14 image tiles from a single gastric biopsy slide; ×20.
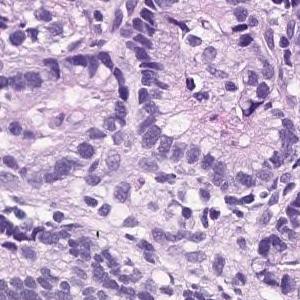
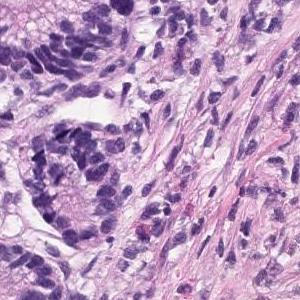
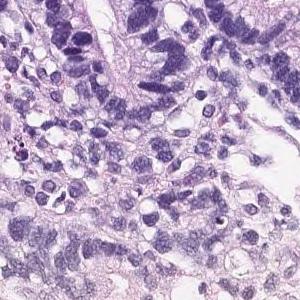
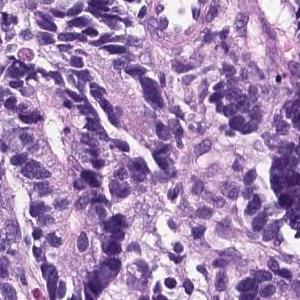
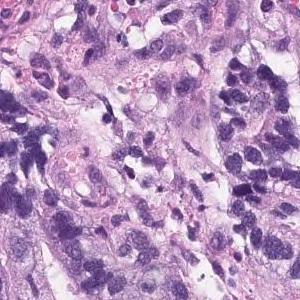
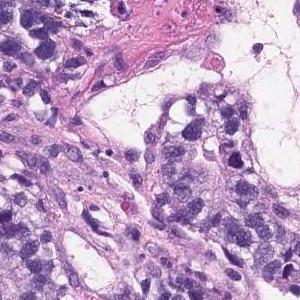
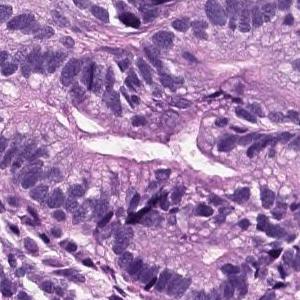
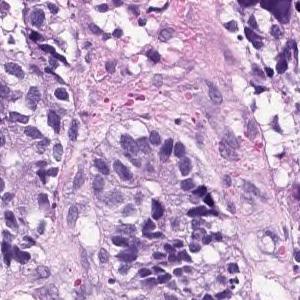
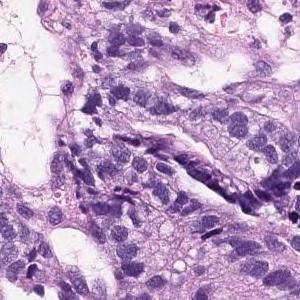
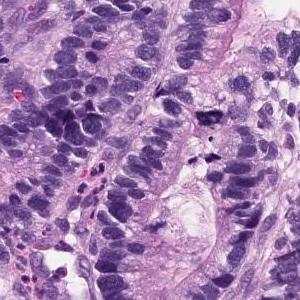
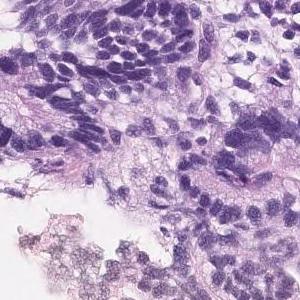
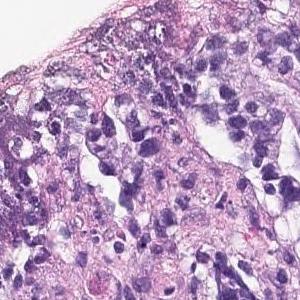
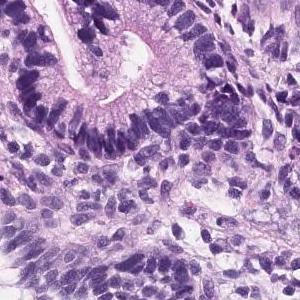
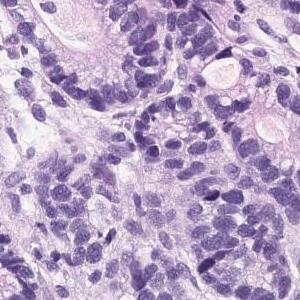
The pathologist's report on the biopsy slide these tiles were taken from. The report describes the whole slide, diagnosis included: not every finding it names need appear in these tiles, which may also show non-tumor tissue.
Hyperplasia of atypical epithelial cells with swelling of the nucleus is observed. Moderately diffentiated tubular adenocarcinoma
Tumor subtype: moderately differentiated tubular adenocarcinoma.
